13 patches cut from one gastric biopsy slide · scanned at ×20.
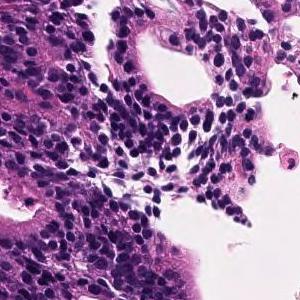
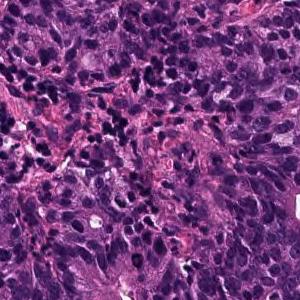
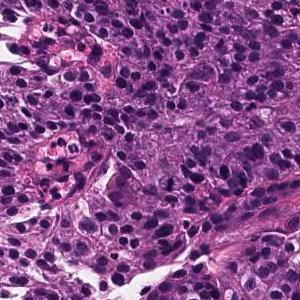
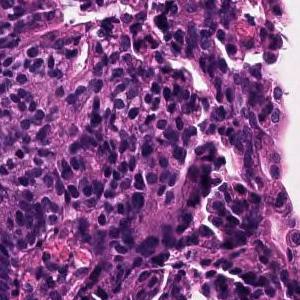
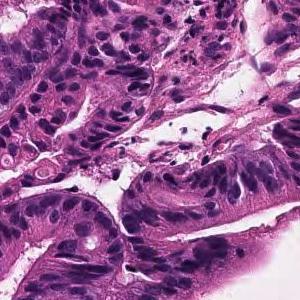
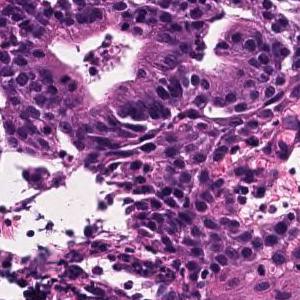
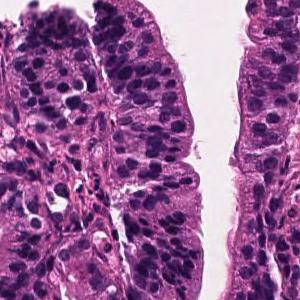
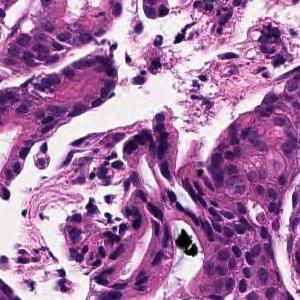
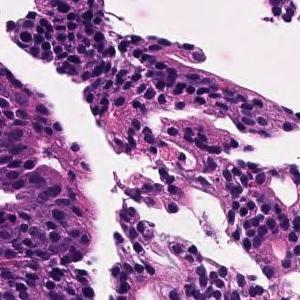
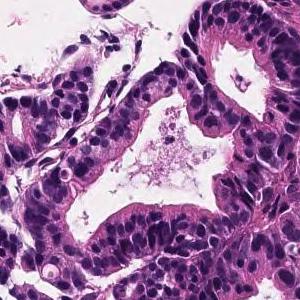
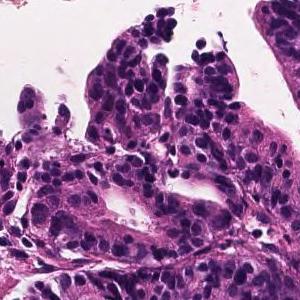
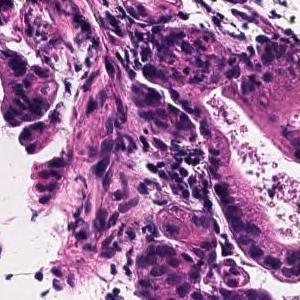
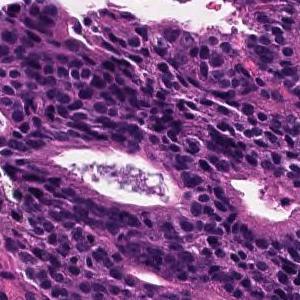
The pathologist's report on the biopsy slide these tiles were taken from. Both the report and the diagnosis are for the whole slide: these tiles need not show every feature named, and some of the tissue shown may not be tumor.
In the superficial epithelium, tumor tissue that invades by forming medium-sized to small, irregular ducts is observed. Moderately differentiated adenocarcinoma.
Histologic type: Moderately differentiated tubular adenocarcinoma.
